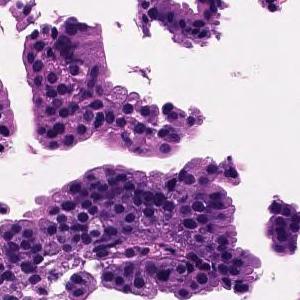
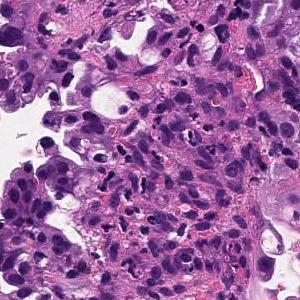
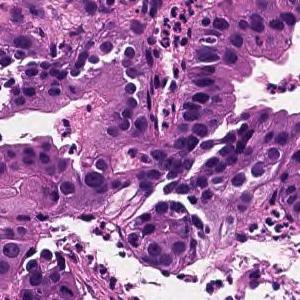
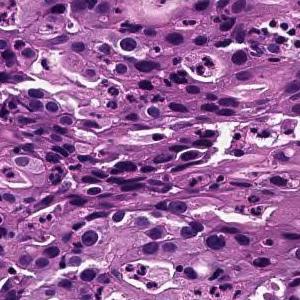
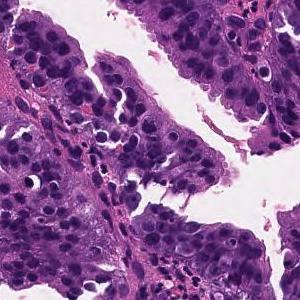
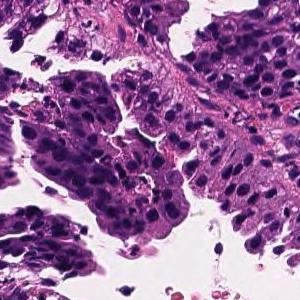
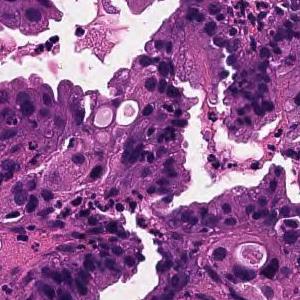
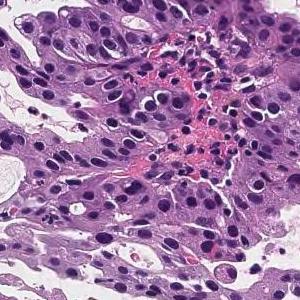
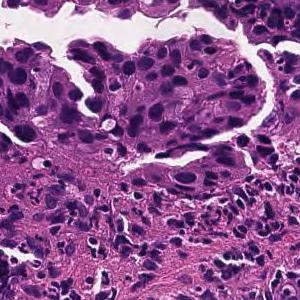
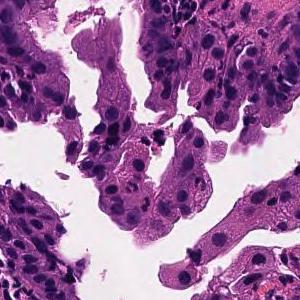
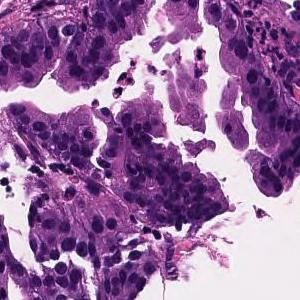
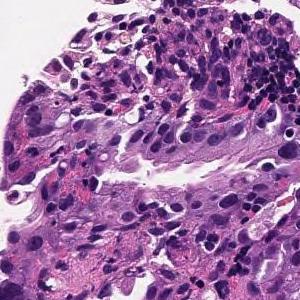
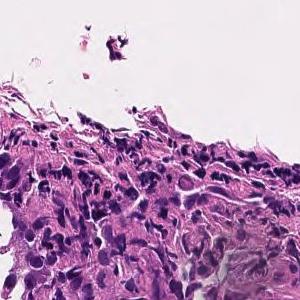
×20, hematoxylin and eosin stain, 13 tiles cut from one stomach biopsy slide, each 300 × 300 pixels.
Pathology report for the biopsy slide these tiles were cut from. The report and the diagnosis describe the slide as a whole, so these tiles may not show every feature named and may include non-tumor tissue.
On the superficial epithelium, tumor tissue consisting of large, irregular glandular ducts partially fused and infiltrated is observed. Well to moderately differentiated tubular adenocarcinoma (well differentiated tubular adenocarcinoma, moderately differentiated tubular adenocarcinoma)
Histological subtype: Well to moderately differentiated tubular adenocarcinoma.
